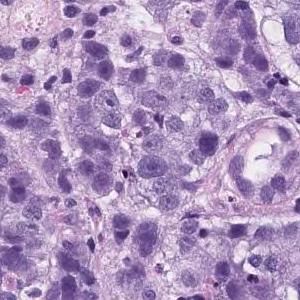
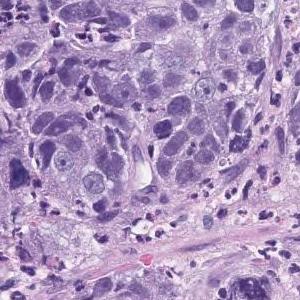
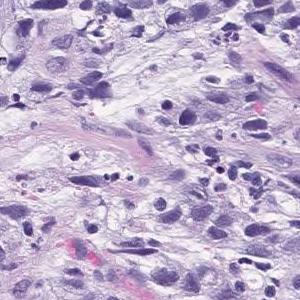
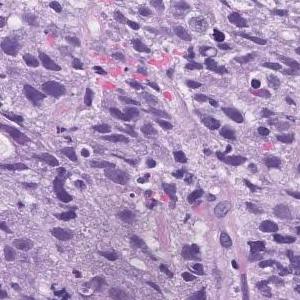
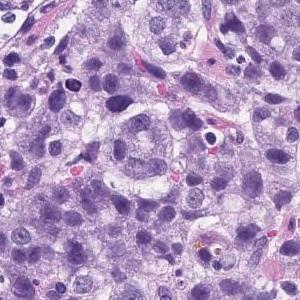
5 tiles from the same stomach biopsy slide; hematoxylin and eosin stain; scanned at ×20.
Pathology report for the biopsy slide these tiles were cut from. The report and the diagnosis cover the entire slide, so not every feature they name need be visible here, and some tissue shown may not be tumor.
Atypical l cells with atypical nuclei forming solid vesicles or small irregular atypical ducts that proliferate in a complex manner. poorly differentiated adenocarcinoma, solid type, moderately differentiated tubular adenocarcinoma
The term "solid type" comes from the Japanese Classification of Gastric Carcinoma; the WHO 2019 equivalent is tubular adenocarcinoma, poorly differentiated.
